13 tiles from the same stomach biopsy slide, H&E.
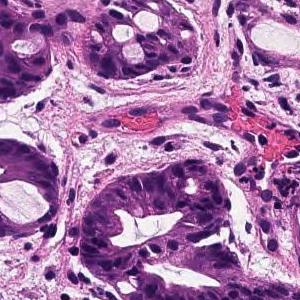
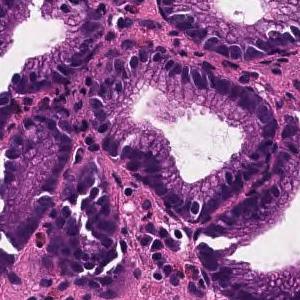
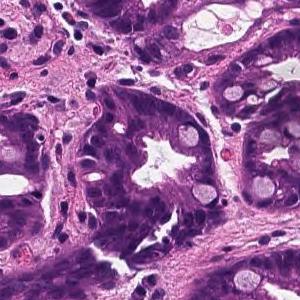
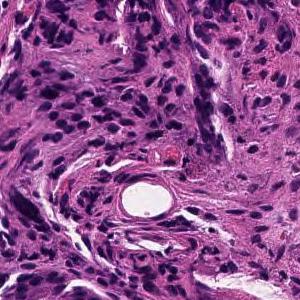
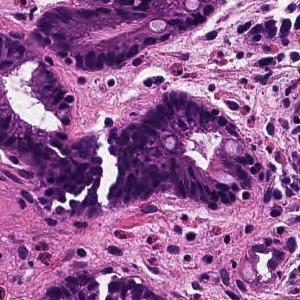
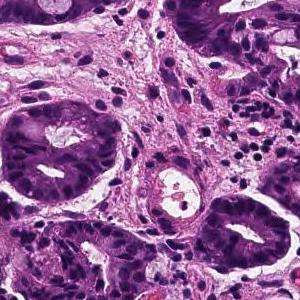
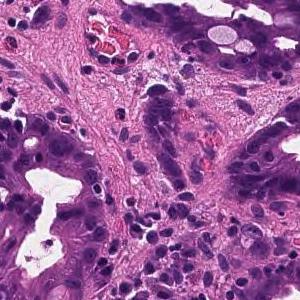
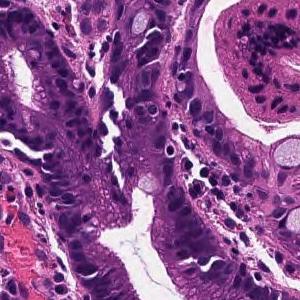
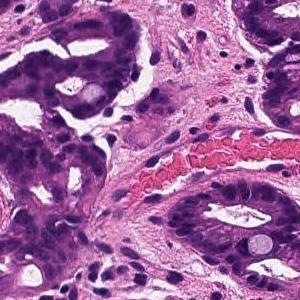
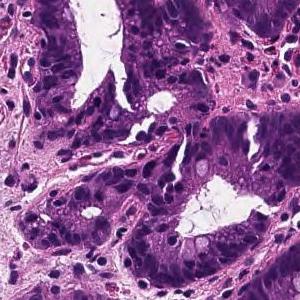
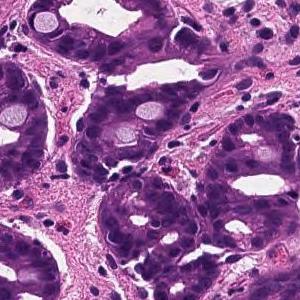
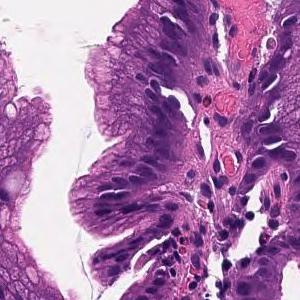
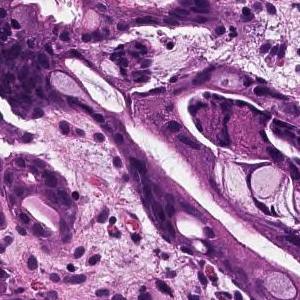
Report on the slide these tiles come from. What the report and the diagnosis say applies to the whole slide; these tiles may miss some of the features named and may include tissue that is not tumor.
From the superficial epithelium to the muscularis mucosae, tumor tissue consisting of medium-sized and irregular glandular ducts infiltrating is observed. Well differentiated tubular adenocarcinoma
